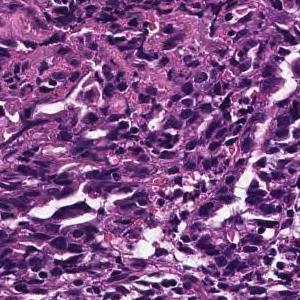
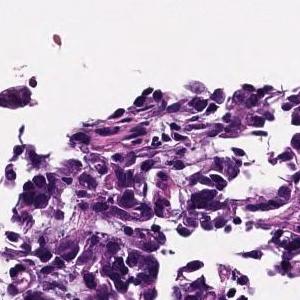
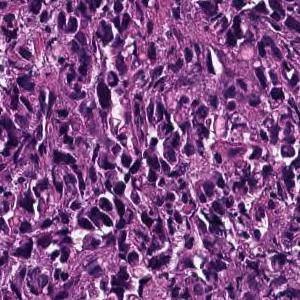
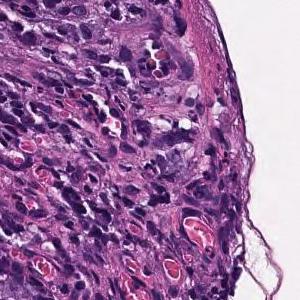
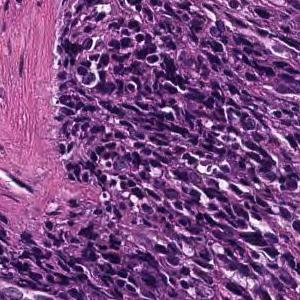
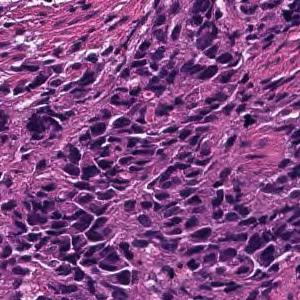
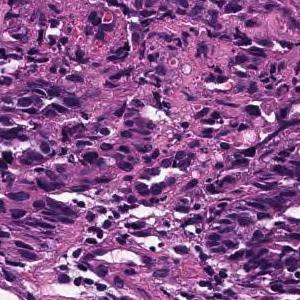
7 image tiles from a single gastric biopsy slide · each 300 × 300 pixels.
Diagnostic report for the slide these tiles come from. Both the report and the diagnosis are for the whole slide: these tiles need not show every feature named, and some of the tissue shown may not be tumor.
Poorly differentiated, solid adenocarcinoma (poorly differentiated adenocarcinoma, solid type) with tumor tissue diffusely infiltrated with atypical epithelial cells
Histologic type: Poorly differentiated adenocarcinoma, solid type. This name comes from the Japanese Classification of Gastric Carcinoma; the WHO 2019 classification calls it tubular adenocarcinoma, poorly differentiated.
